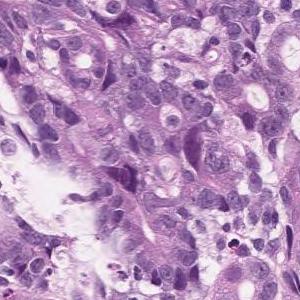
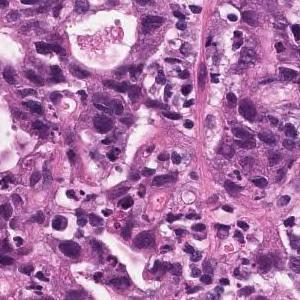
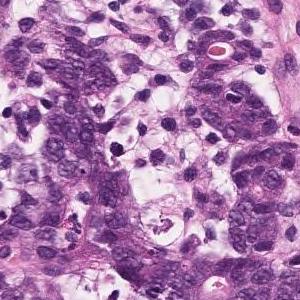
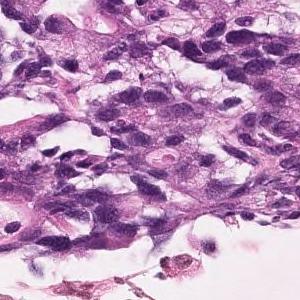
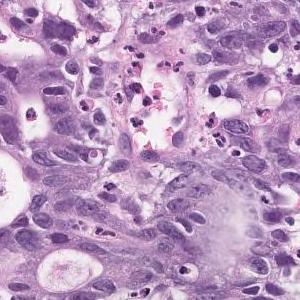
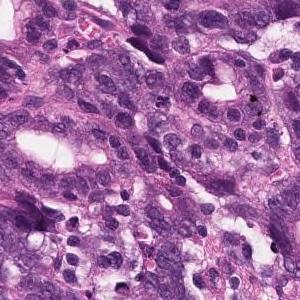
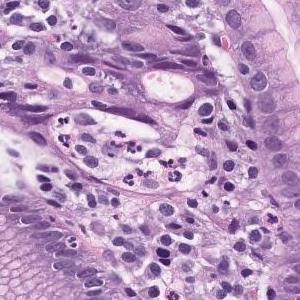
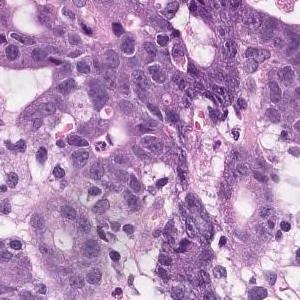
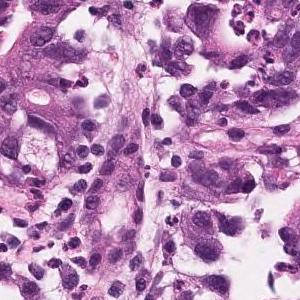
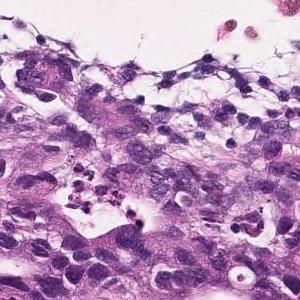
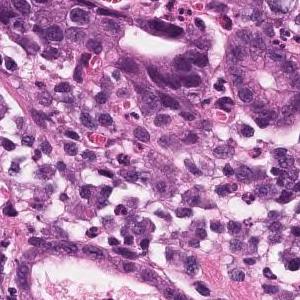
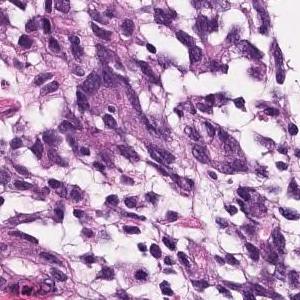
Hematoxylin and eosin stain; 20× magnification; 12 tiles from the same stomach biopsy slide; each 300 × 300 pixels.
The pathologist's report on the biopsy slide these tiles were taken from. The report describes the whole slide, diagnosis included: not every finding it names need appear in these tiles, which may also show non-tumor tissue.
It is mixed with the existing pit epithelium and pyloric gland epithelium, and irregularly fused and branched atypical ducts are observed. Moderately differentiated tubular adenocarcinoma (well differentiated tubular adenocarcinoma)
Dataset label: moderately differentiated tubular adenocarcinoma.
